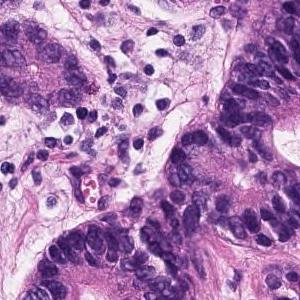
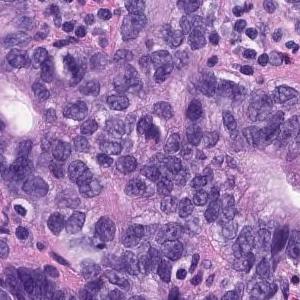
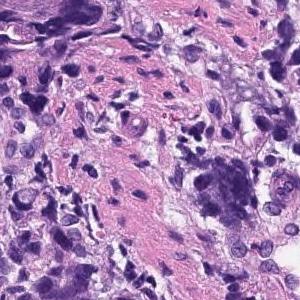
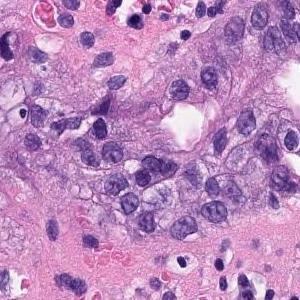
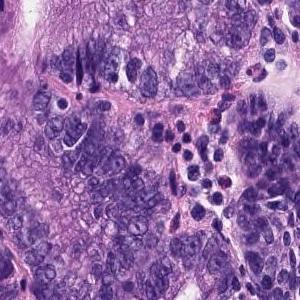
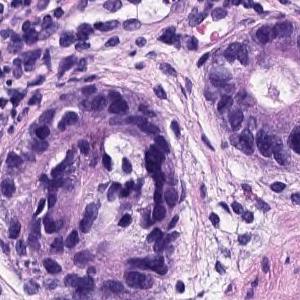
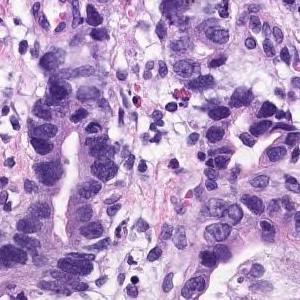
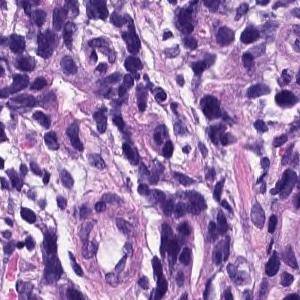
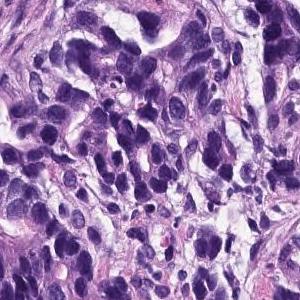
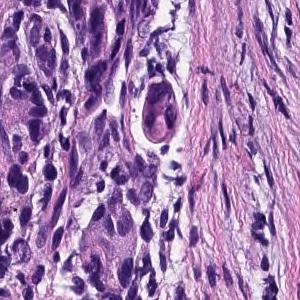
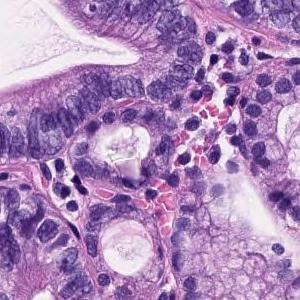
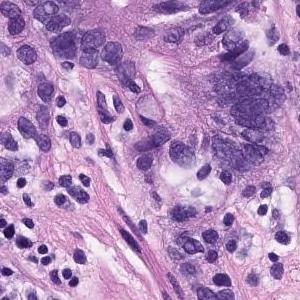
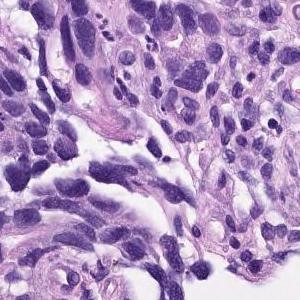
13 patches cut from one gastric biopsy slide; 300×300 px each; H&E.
Pathology report for the biopsy slide these tiles were cut from. The findings and the diagnosis refer to the entire slide; these tiles show only part of it, possibly with non-tumor tissue, and may not show every feature named.
On the superficial epithelium, tumor tissue consisting of images showing invasive growth with small, irregular tubules partially fused is observed. moderately differentiated tubular adenocarcinoma
